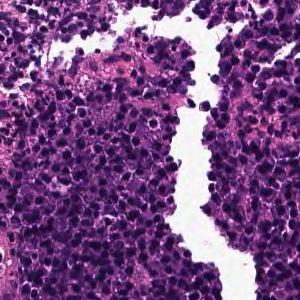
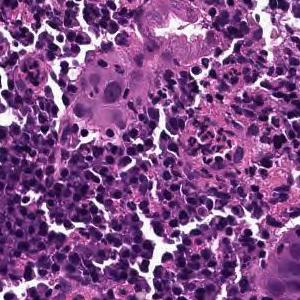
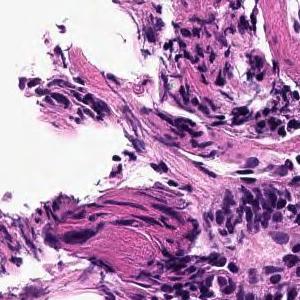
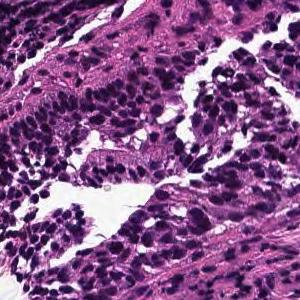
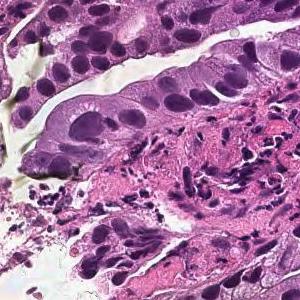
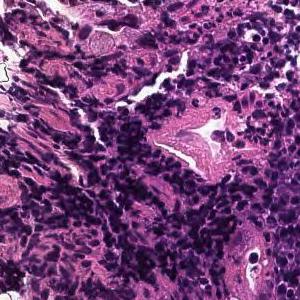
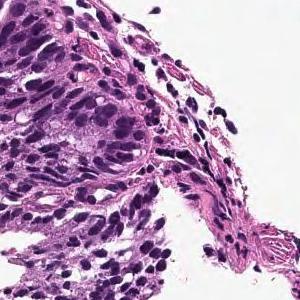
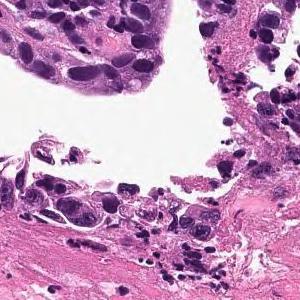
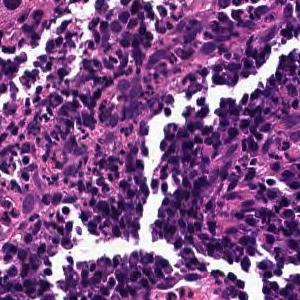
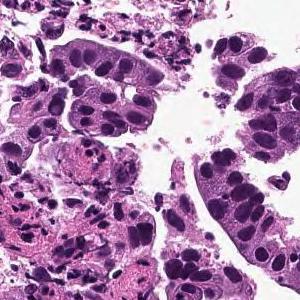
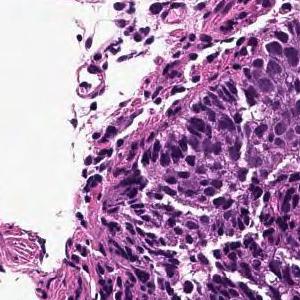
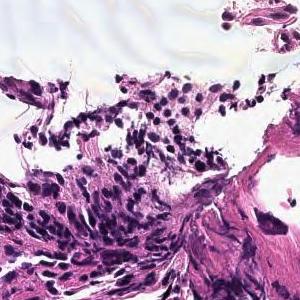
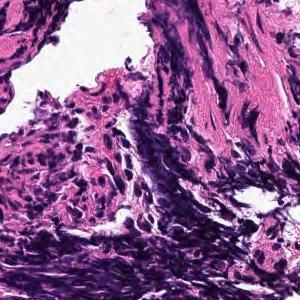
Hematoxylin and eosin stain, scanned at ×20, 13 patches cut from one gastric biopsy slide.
Report on the slide these tiles come from. The report and the diagnosis describe the slide as a whole, so these tiles may not show every feature named and may include non-tumor tissue.
On the superficial epithelium, tumor tissue that infiltrates by forming medium-sized papillary or small irregular ducts is observed. Papillary adenocarcinoma
